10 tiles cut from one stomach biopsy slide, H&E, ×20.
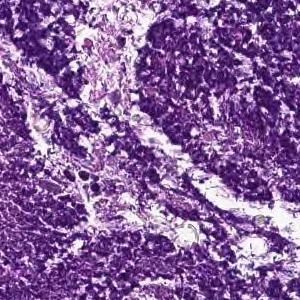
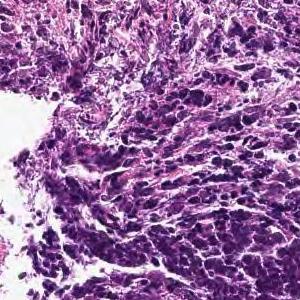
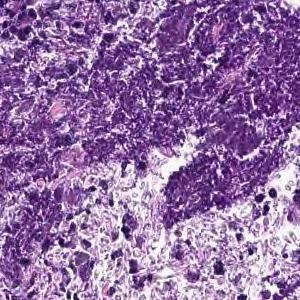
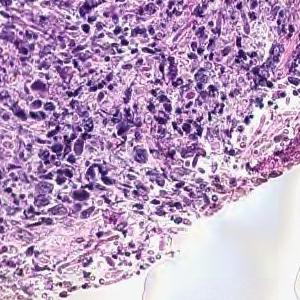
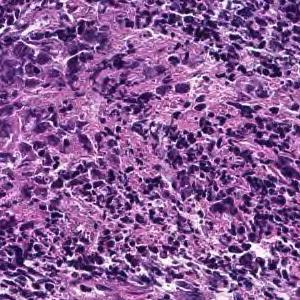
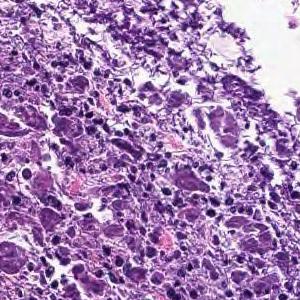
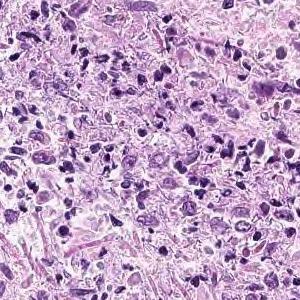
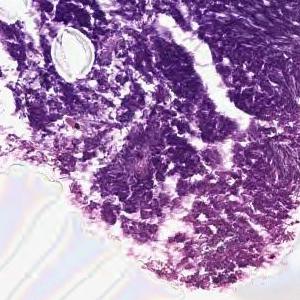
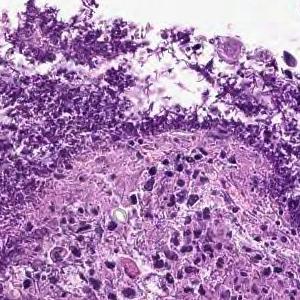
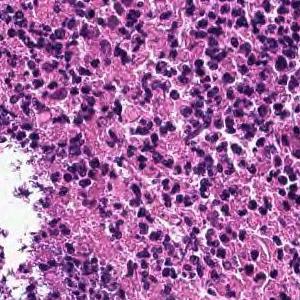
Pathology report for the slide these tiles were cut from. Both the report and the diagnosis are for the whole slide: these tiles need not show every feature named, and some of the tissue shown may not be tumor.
Cancers with polygonal nuclei do not show glandular formation and are densely, in part, cord-like and proliferate. Poorly differentiated adenocarcinoma
Tumor subtype: poorly differentiated adenocarcinoma, non-solid type.
The non-solid type named here is a Japanese Classification of Gastric Carcinoma category.
